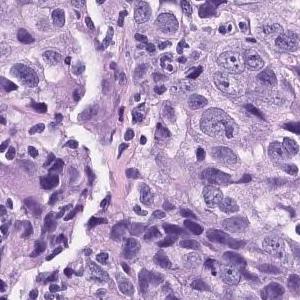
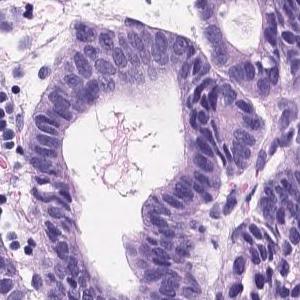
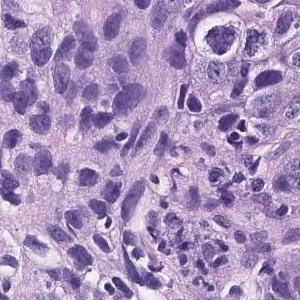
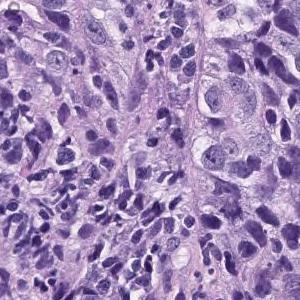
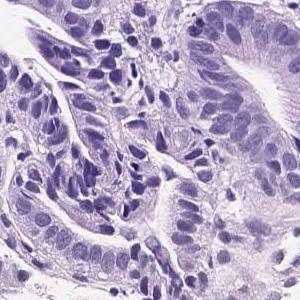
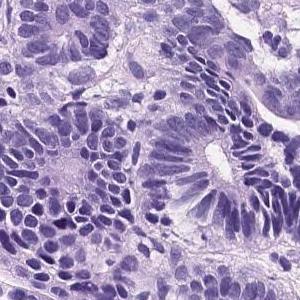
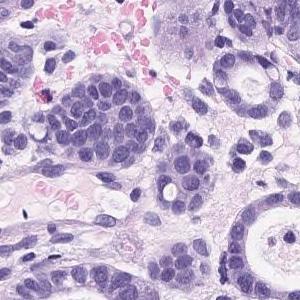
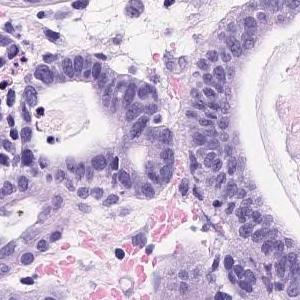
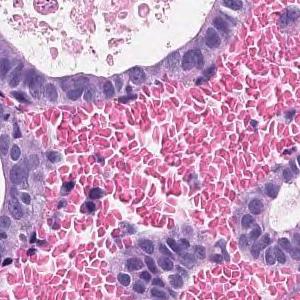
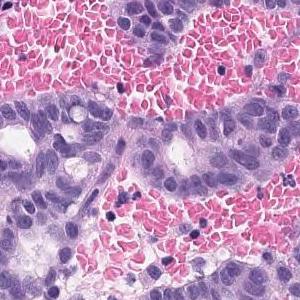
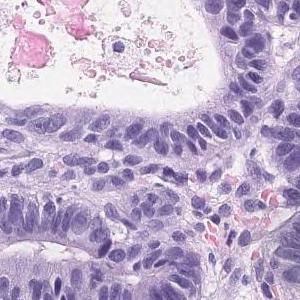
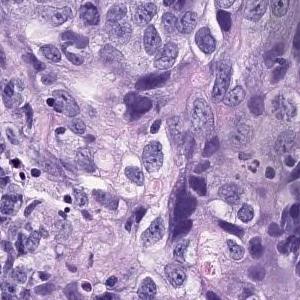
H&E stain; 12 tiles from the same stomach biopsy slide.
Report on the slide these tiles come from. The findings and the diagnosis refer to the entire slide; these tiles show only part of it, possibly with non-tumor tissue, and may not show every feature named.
The superficial epithelium shows a large sheet-like shape, and some tumor tissue infiltrates with small irregular ducts. Poorly differentiated adenocarcinoma, solid-type
Tumor subtype: poorly differentiated adenocarcinoma, solid type. This name comes from the Japanese Classification of Gastric Carcinoma; the WHO 2019 classification calls it tubular adenocarcinoma, poorly differentiated.
